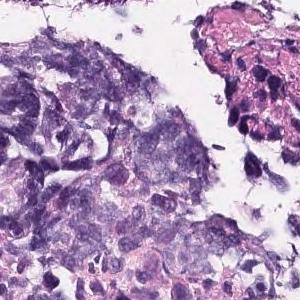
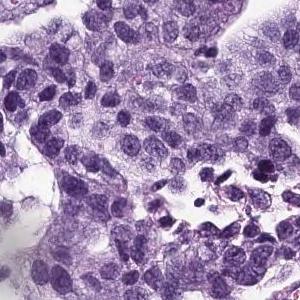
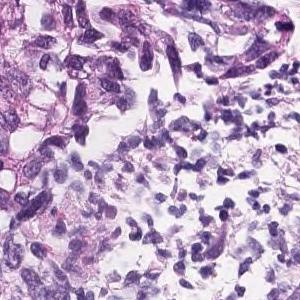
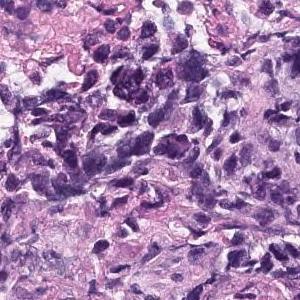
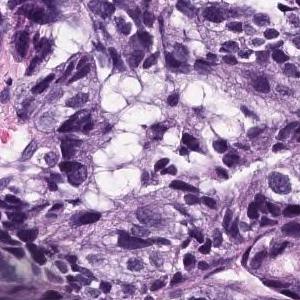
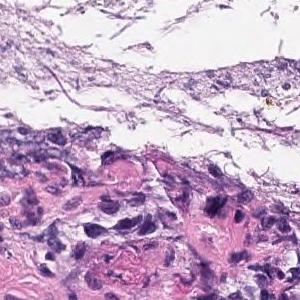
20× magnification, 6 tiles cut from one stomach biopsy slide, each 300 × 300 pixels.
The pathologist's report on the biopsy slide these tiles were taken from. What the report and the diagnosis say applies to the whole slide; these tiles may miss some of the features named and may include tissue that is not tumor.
The superficial epithelium shows a large sheet-like shape, and some tumor tissue infiltrates with small irregular ducts. Poorly differentiated adenocarcinoma, solid-type
Histological subtype: Poorly differentiated adenocarcinoma, solid type. This name comes from the Japanese Classification of Gastric Carcinoma; the WHO 2019 classification calls it tubular adenocarcinoma, poorly differentiated.
